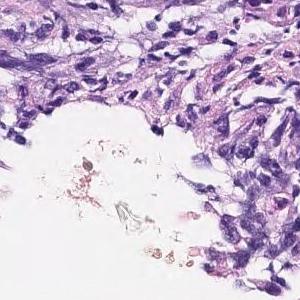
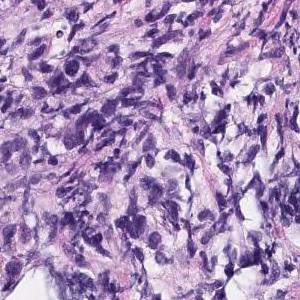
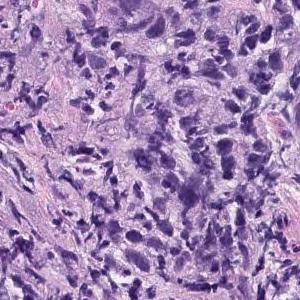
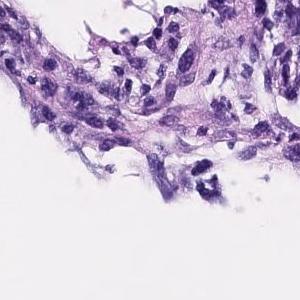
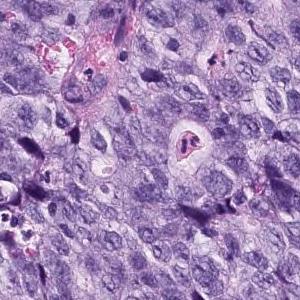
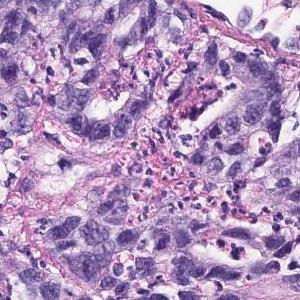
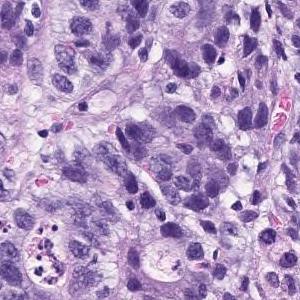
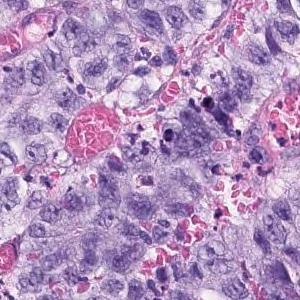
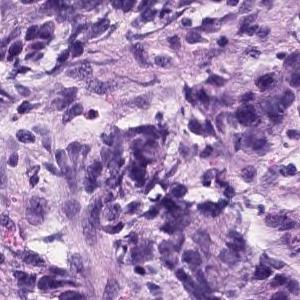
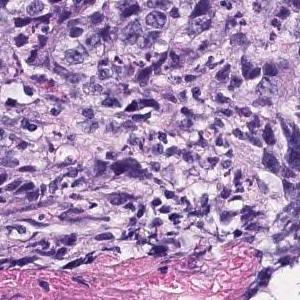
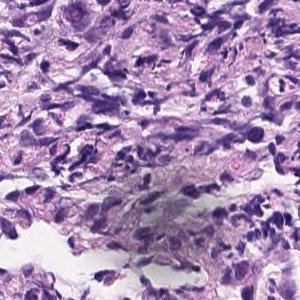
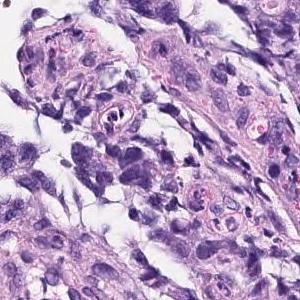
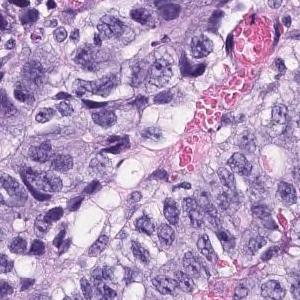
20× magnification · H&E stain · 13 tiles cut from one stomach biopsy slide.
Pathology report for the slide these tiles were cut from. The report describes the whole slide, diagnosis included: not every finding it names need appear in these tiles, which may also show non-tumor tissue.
The superficial epithelium shows a large sheet-like shape, and some tumor tissue infiltrates with small irregular ducts. Poorly differentiated adenocarcinoma, solid-type
Classified as poorly differentiated adenocarcinoma, solid type (Japanese Classification of Gastric Carcinoma). The WHO 2019 equivalent is tubular adenocarcinoma, poorly differentiated.
